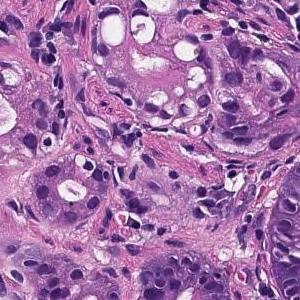
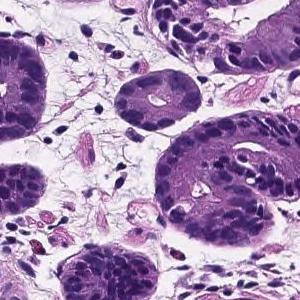
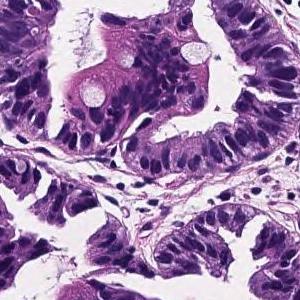
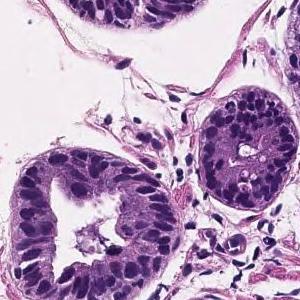
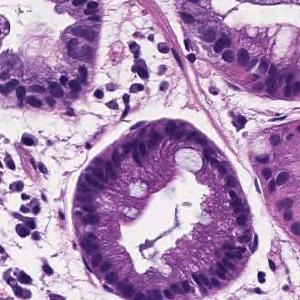
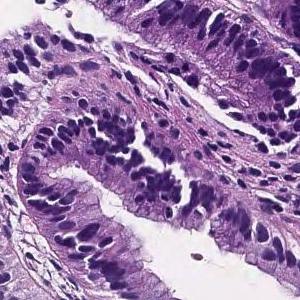
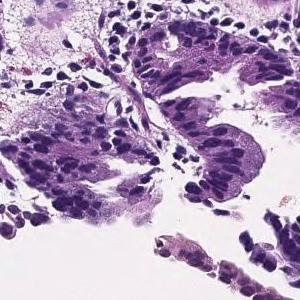
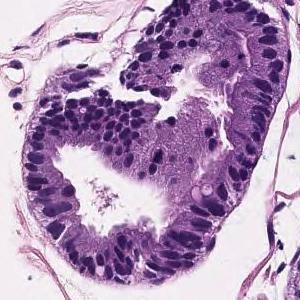
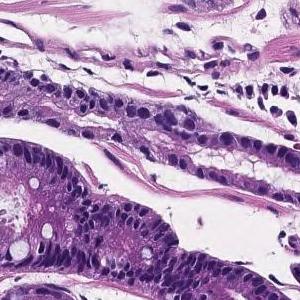
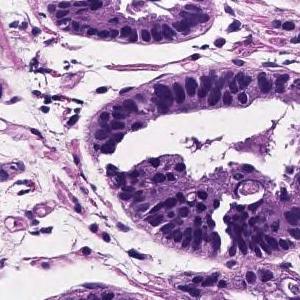
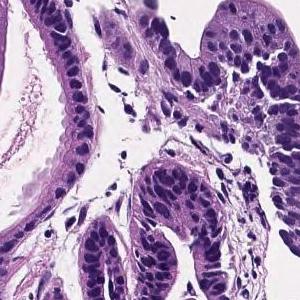
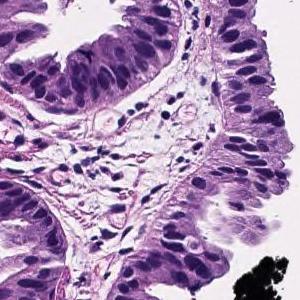
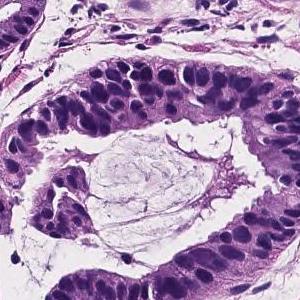
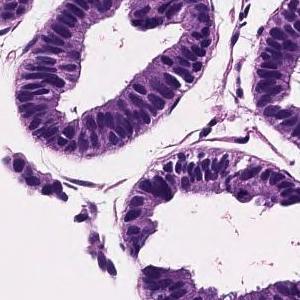
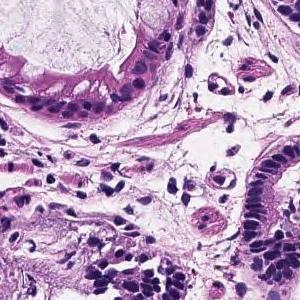
15 image tiles from a single gastric biopsy slide; 300×300 px each; ×20; hematoxylin and eosin stain.
Report on the slide these tiles come from. What the report and the diagnosis say applies to the whole slide; these tiles may miss some of the features named and may include tissue that is not tumor.
Tumor cells are large, highly columnar, large club-shaped nuclei, and are associated with chromatin aggregation. Papillary adenocarcinoma.
